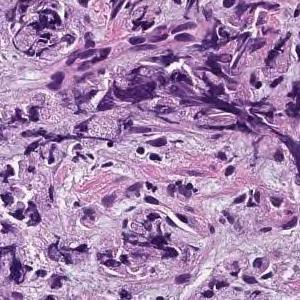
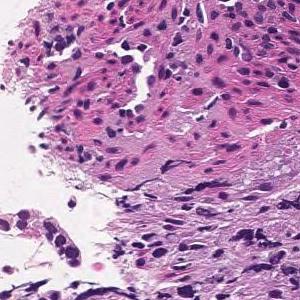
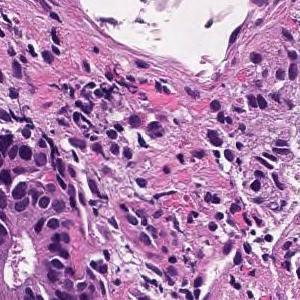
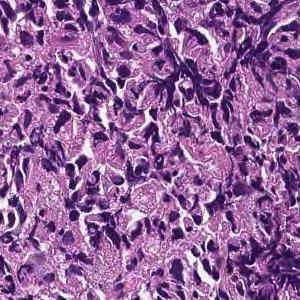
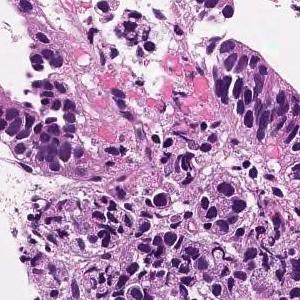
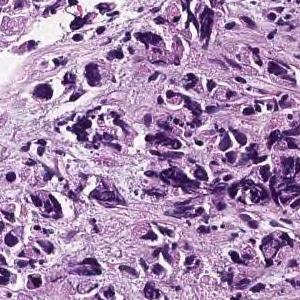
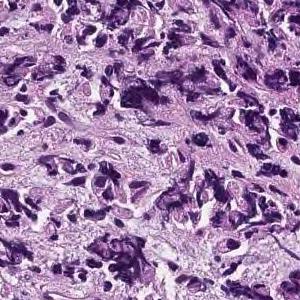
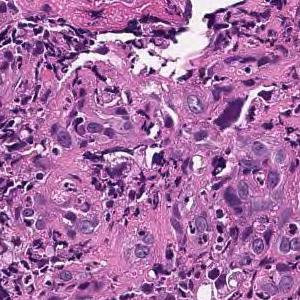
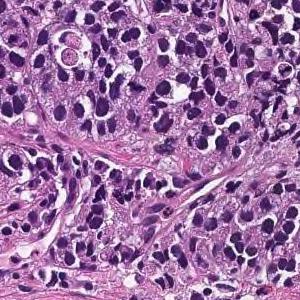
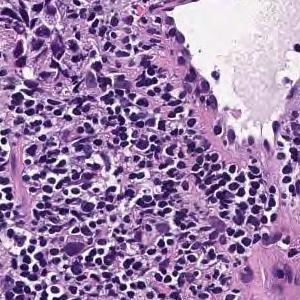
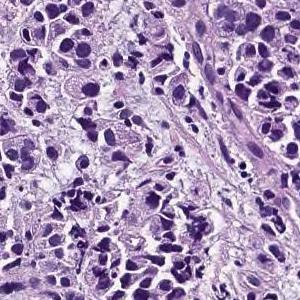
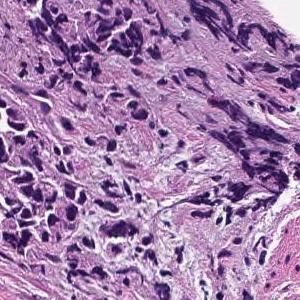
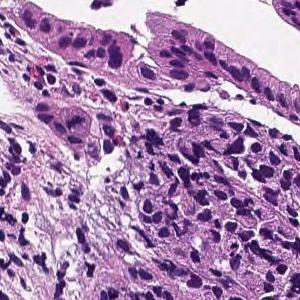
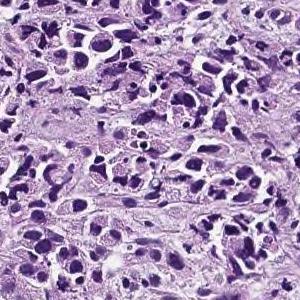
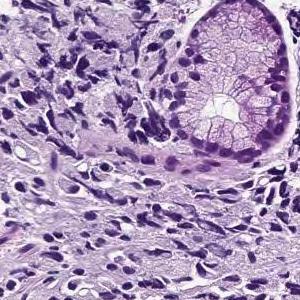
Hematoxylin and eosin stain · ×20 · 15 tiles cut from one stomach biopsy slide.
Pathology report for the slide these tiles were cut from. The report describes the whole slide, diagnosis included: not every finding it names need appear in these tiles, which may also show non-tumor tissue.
The lamina propria shows small cord-like tumor tissue that infiltrates with fibrosis and marked chronic inflammatory cell infiltration. Poorly differentiated adenocarcinoma, non-solid type
The non-solid type named here is a Japanese Classification of Gastric Carcinoma category.
